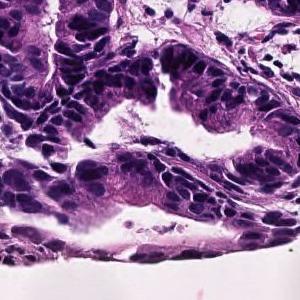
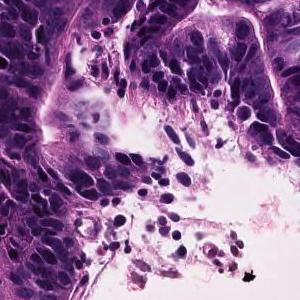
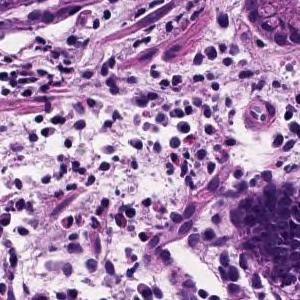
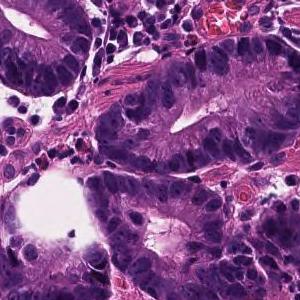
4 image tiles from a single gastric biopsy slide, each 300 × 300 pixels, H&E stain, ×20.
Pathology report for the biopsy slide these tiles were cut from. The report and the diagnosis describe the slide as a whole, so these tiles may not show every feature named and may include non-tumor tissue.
On the superficial epithelium, tumor tissue consisting of growth of medium-sized to large-sized, round or irregular glandular ducts is observed. Well differentiated tubular adenocarcinoma
